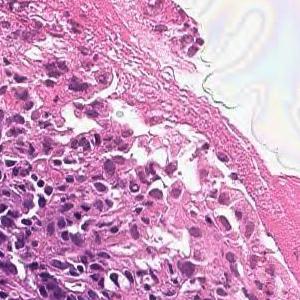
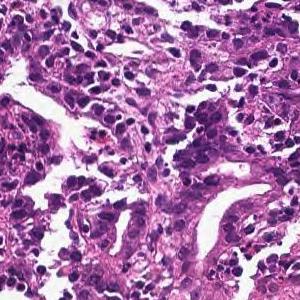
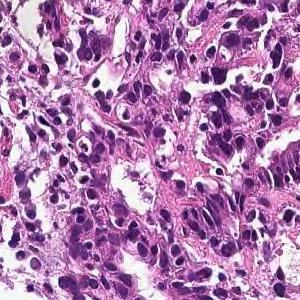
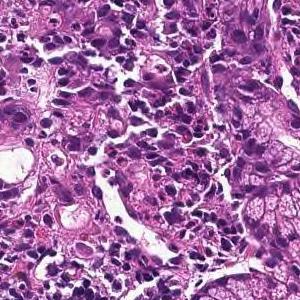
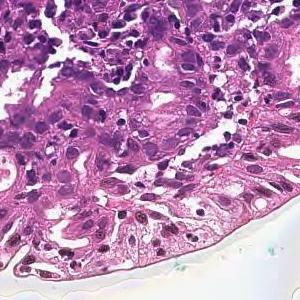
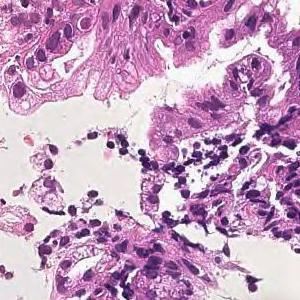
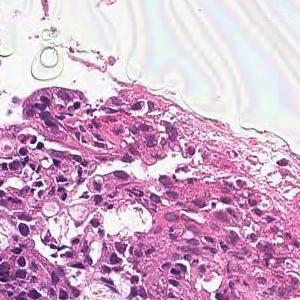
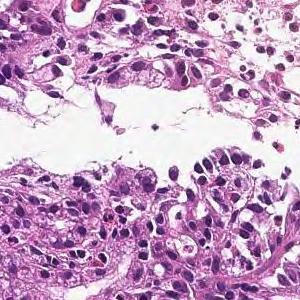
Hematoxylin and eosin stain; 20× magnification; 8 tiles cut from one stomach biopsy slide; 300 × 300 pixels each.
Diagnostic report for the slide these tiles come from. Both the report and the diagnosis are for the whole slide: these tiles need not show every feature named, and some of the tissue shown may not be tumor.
In the superficial epithelium, tumor tissue that invades by forming medium-sized to small, irregular ducts is observed. moderately differentiated tubular adenocarcinoma.
